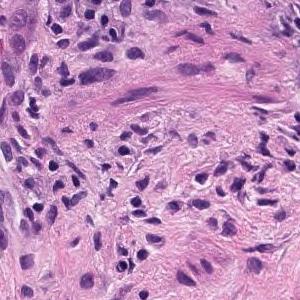
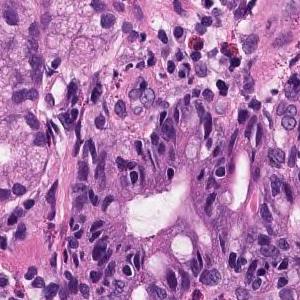
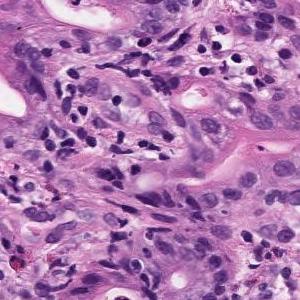
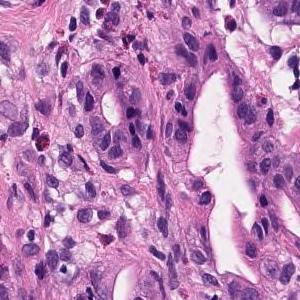
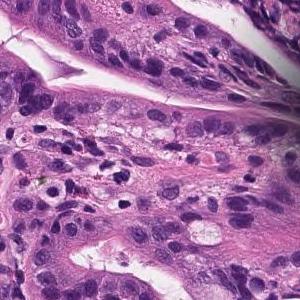
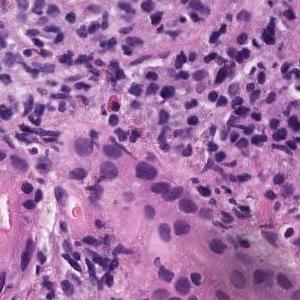
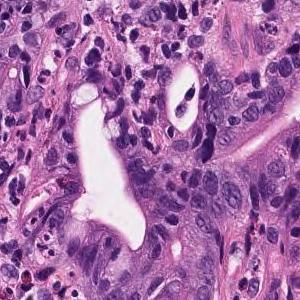
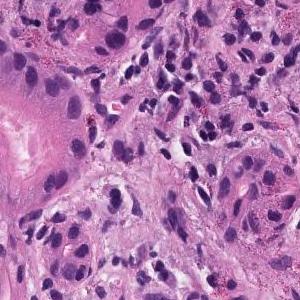
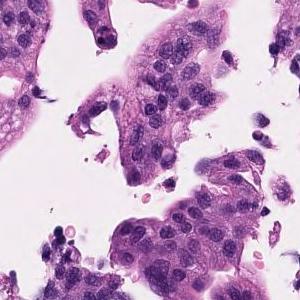
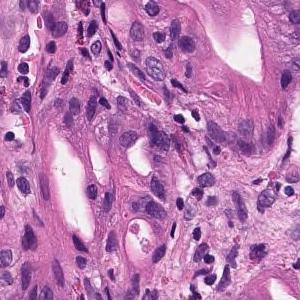
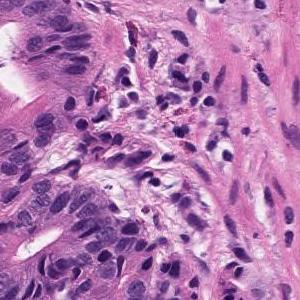
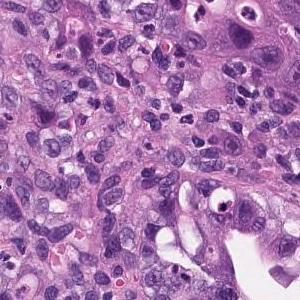
12 tiles cut from one stomach biopsy slide; 300×300 px each.
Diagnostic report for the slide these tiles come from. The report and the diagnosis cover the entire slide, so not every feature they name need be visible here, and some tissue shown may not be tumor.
moderately differentiated tubular adenocarcinoma, Poorly differentiated adenocarcinoma
Labeled in the dataset as poorly differentiated adenocarcinoma, solid type. This name comes from the Japanese Classification of Gastric Carcinoma; the WHO 2019 classification calls it tubular adenocarcinoma, poorly differentiated.
